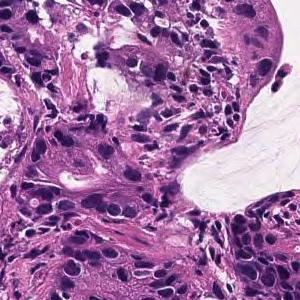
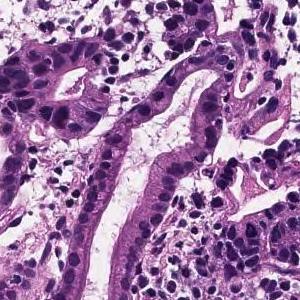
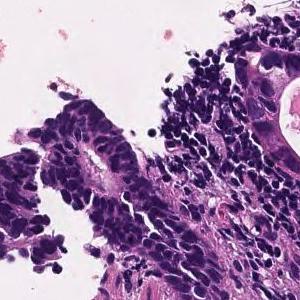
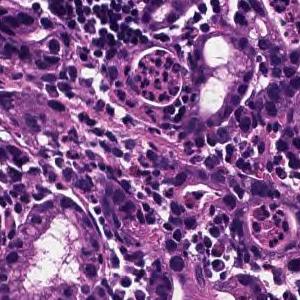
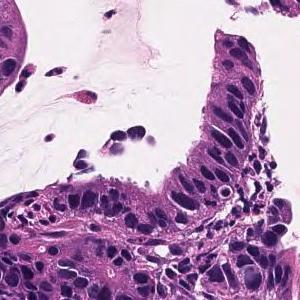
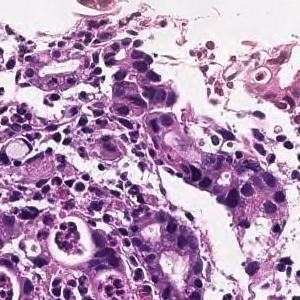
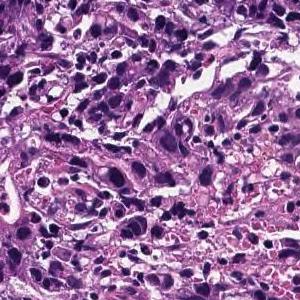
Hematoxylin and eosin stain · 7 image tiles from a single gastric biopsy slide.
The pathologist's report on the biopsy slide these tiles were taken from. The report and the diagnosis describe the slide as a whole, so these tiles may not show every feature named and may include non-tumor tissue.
In the superficial epithelium, tumor tissue that invades by forming medium-sized to small, irregular ducts is observed. moderately differentiated tubular adenocarcinoma.
